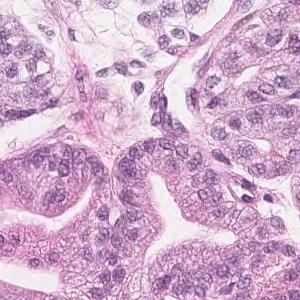
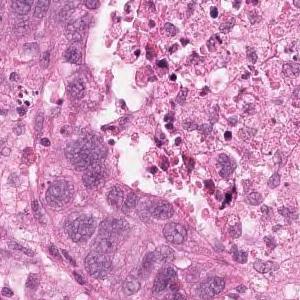
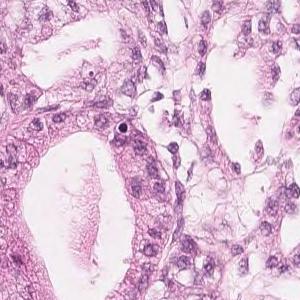
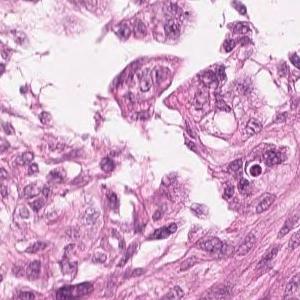
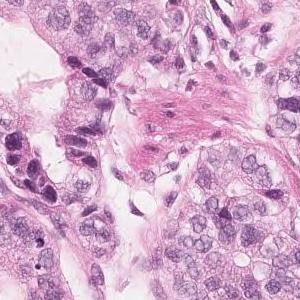
5 tiles from the same stomach biopsy slide, each 300 × 300 pixels, H&E stain.
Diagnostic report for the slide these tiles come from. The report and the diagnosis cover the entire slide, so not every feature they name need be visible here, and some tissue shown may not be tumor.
Highly columnar epithelium with disordered nuclear localization proliferates showing fusion ductal construction. moderately differentiated tubular adenocarcinoma
